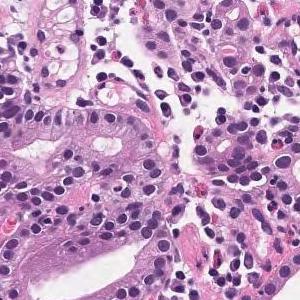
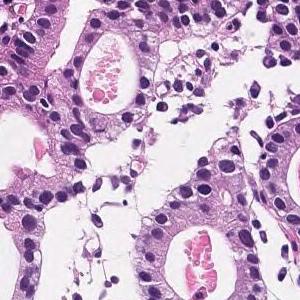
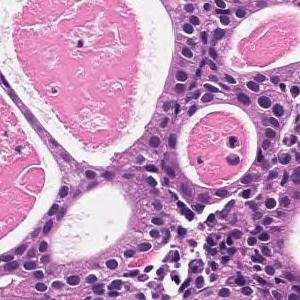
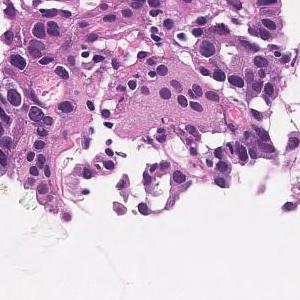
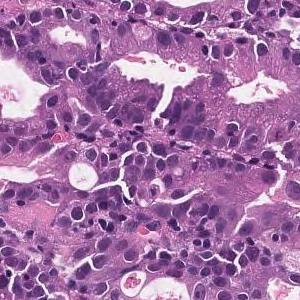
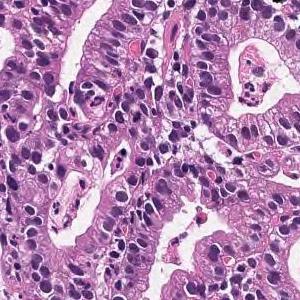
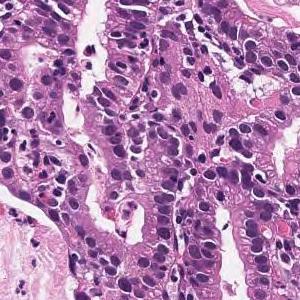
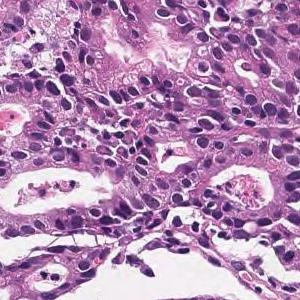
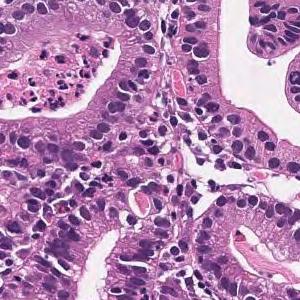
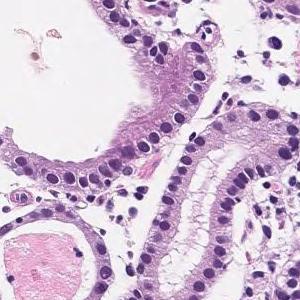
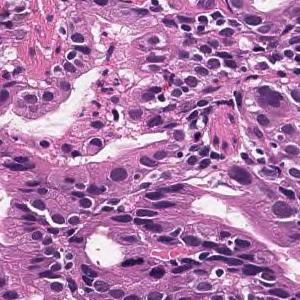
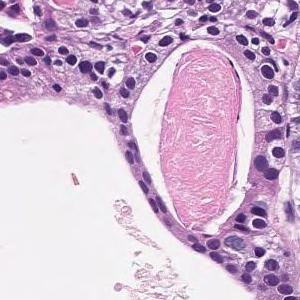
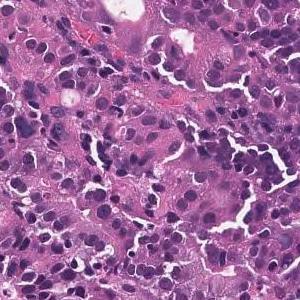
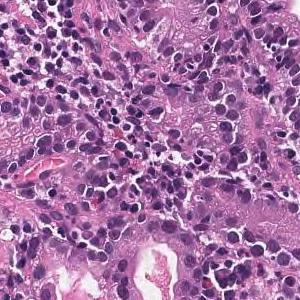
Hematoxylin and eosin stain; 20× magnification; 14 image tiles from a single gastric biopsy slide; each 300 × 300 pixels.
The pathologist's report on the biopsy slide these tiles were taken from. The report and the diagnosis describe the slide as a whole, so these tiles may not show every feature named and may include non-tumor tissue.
Medium to small, irregular glandular ducts are formed in the superficial epithelium, and in some cases, the glandular ducts are fused to show solid alveolar lesions and infiltrating tumor tissue is observed. Moderately to poorly differentiated adenocarcinoma.
